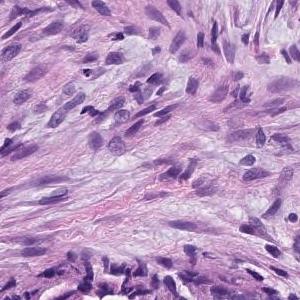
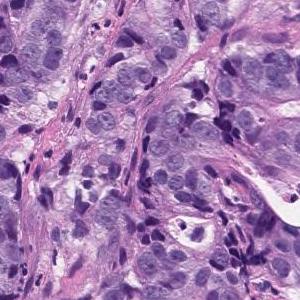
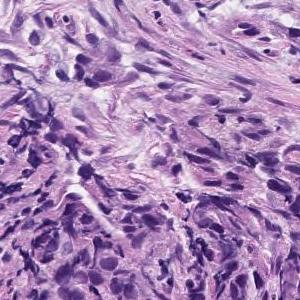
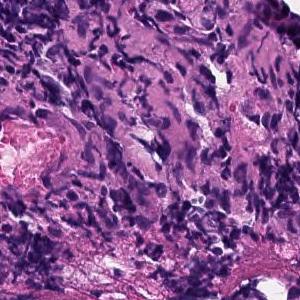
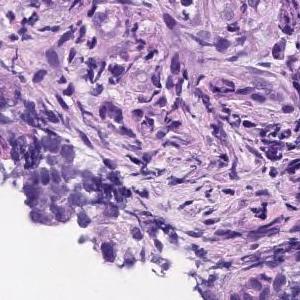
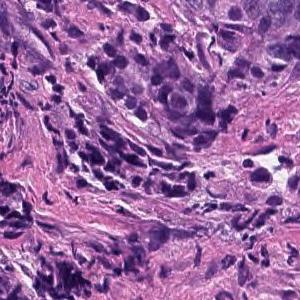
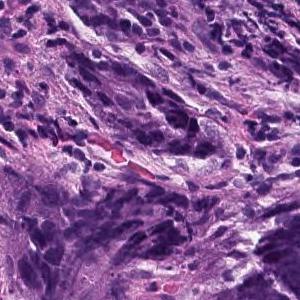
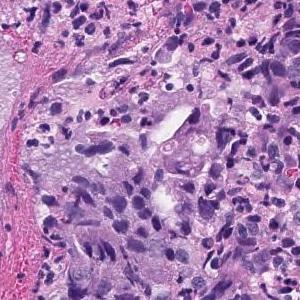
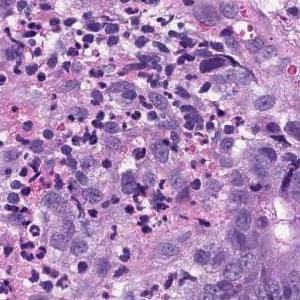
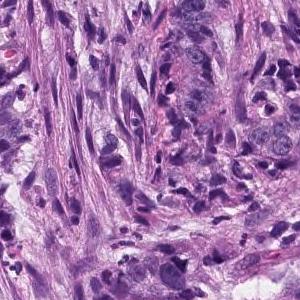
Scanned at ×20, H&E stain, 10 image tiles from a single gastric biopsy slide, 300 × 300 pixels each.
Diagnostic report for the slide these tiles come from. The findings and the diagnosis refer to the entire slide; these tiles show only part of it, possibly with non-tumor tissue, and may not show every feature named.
Medium to small, irregular glandular ducts are formed in the superficial epithelium, and in some cases, the glandular ducts are fused to show solid alveolar lesions and infiltrating tumor tissue is observed. Moderately to poorly differentiated adenocarcinoma.
